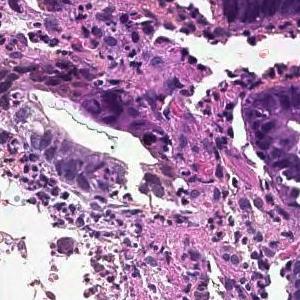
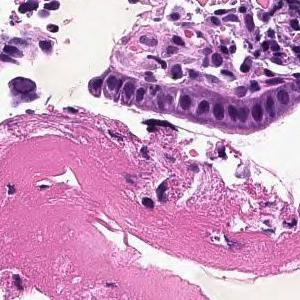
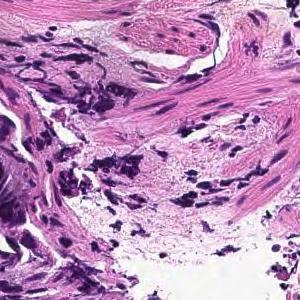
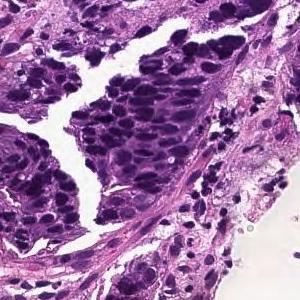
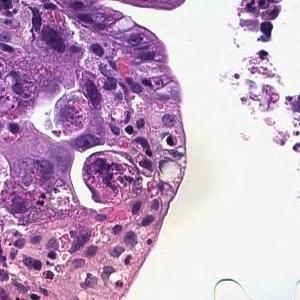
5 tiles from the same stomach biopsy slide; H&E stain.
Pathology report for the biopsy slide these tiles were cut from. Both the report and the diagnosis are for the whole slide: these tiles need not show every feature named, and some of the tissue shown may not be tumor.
In the superficial epithelium, tumor tissue that invades by forming medium-sized to small, irregular ducts is observed. moderately differentiated tubular adenocarcinoma.
